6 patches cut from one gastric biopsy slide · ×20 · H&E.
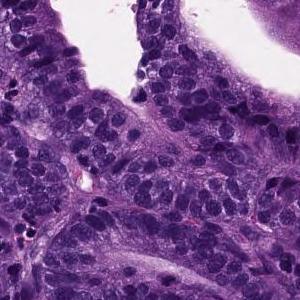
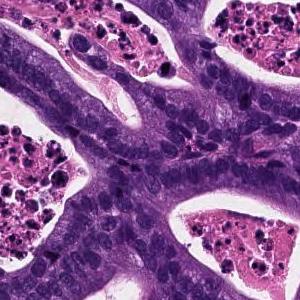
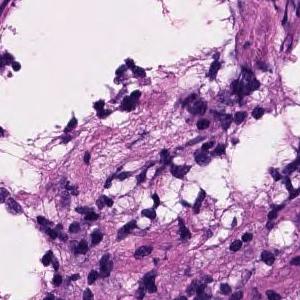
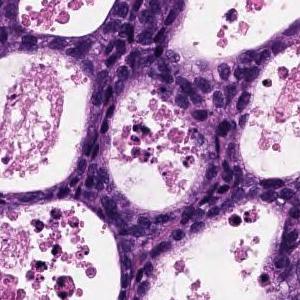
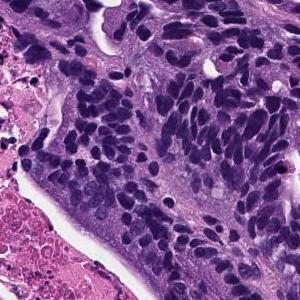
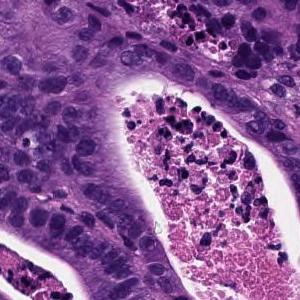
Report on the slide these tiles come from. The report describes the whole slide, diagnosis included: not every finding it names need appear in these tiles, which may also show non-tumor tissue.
From the superficial epithelium to the muscularis mucosae, tumor tissue consisting of medium-sized and irregular glandular ducts infiltrating is observed. Well differentiated tubular adenocarcinoma
